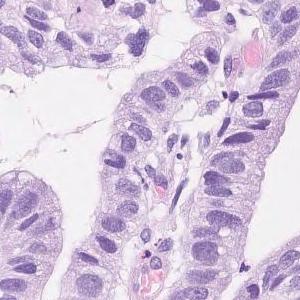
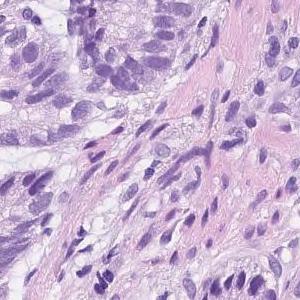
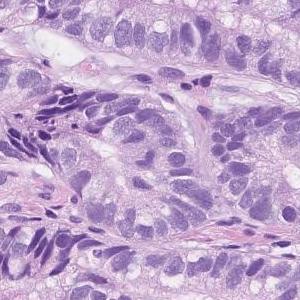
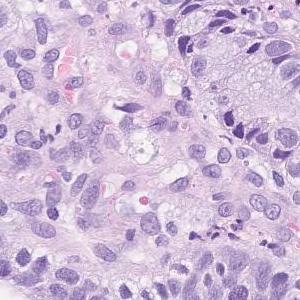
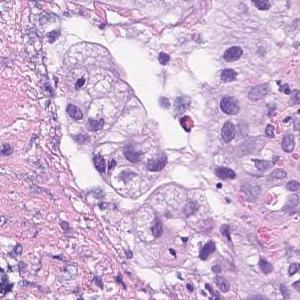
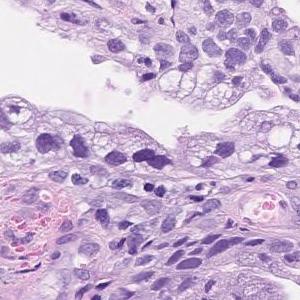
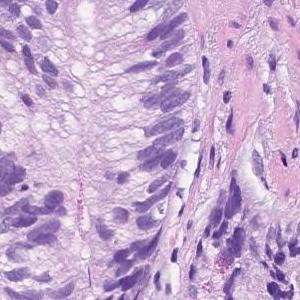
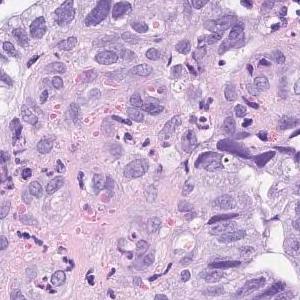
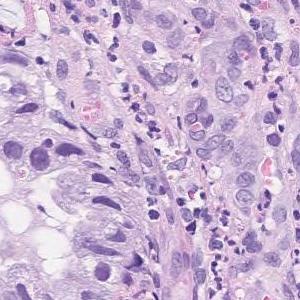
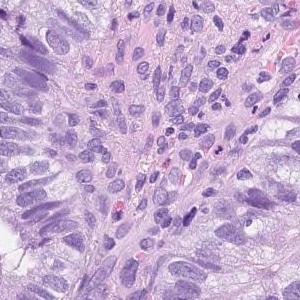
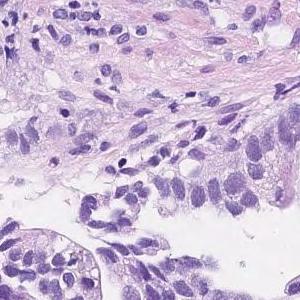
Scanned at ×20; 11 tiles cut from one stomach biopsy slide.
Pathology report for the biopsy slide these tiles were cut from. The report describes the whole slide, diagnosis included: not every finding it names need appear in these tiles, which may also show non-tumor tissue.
Atypical l cells with atypical nuclei forming solid or diffuse vesicles or small irregular atypical ducts and growing in a complex manner. moderately differentiated tubular adenocarcinoma
